15 tiles from the same stomach biopsy slide · 300 × 300 pixels each · hematoxylin and eosin stain · scanned at ×20.
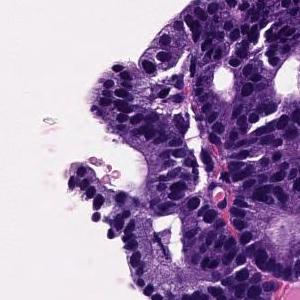
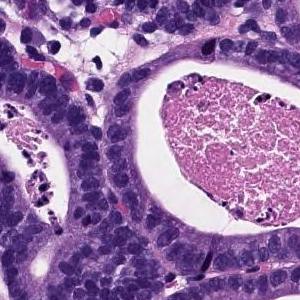
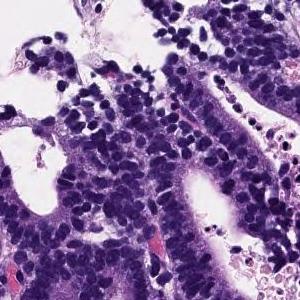
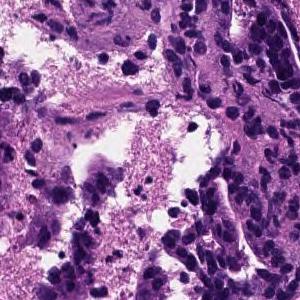
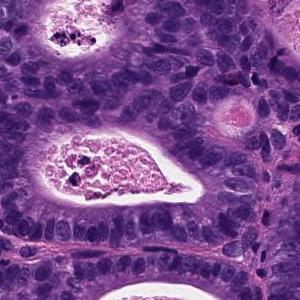
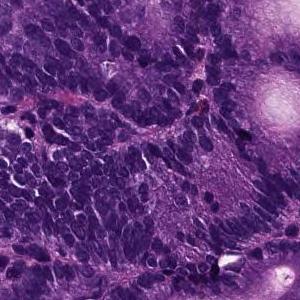
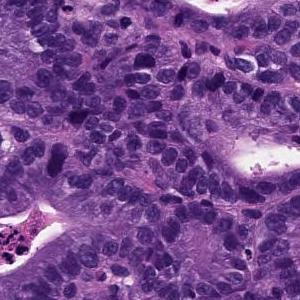
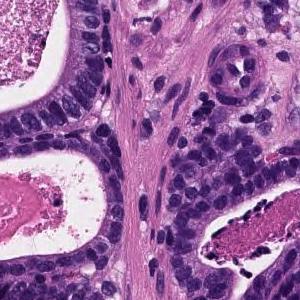
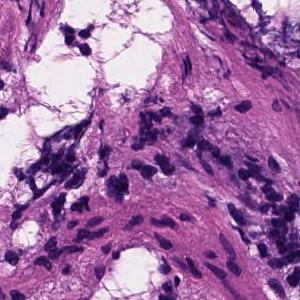
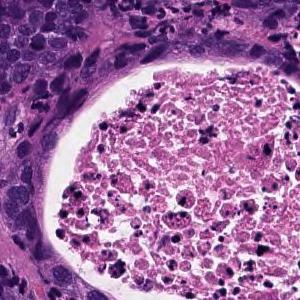
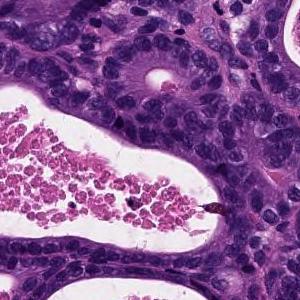
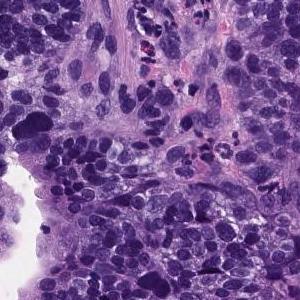
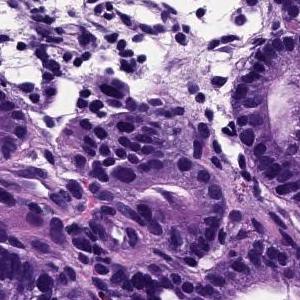
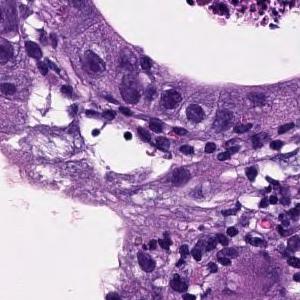
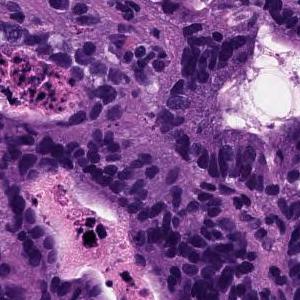
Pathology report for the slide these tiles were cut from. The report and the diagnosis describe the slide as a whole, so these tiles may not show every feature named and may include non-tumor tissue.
From the superficial epithelium to the muscularis mucosae, tumor tissue consisting of medium-sized and irregular glandular ducts infiltrating is observed. Well differentiated tubular adenocarcinoma
